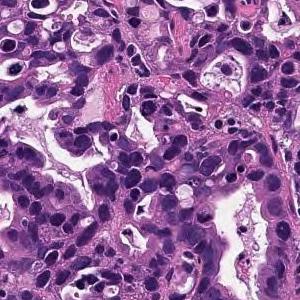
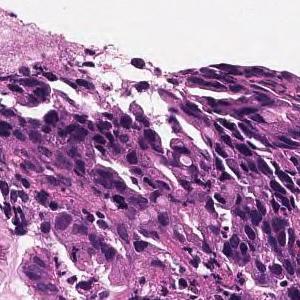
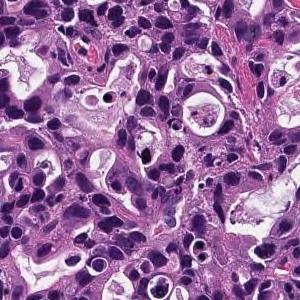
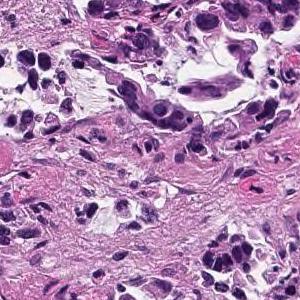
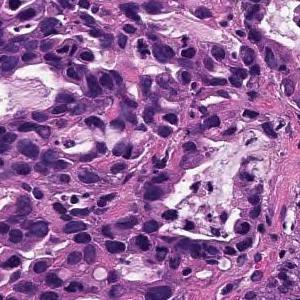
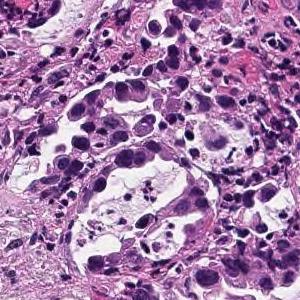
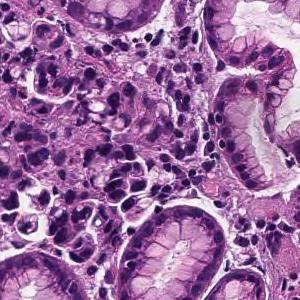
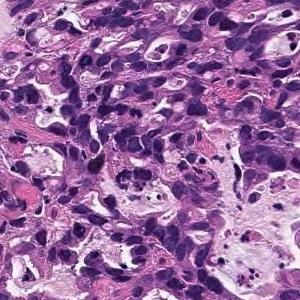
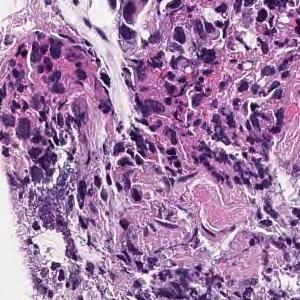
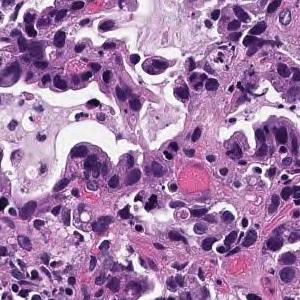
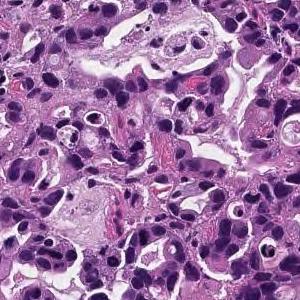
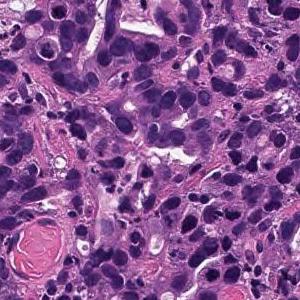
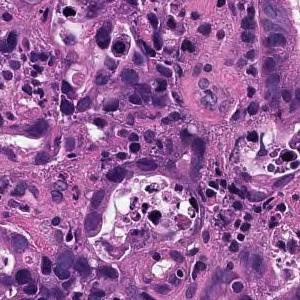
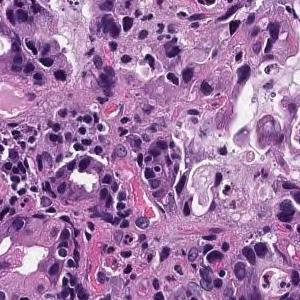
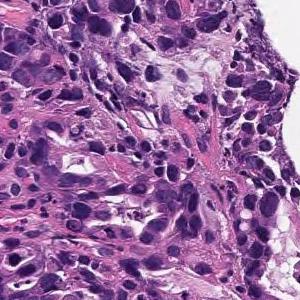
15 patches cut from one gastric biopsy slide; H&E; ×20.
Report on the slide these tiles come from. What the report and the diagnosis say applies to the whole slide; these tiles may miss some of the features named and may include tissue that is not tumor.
In the superficial epithelium, tumor tissue that invades by forming medium-sized to small, irregular ducts is observed. moderately differentiated tubular adenocarcinoma.
